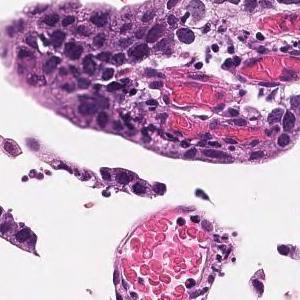
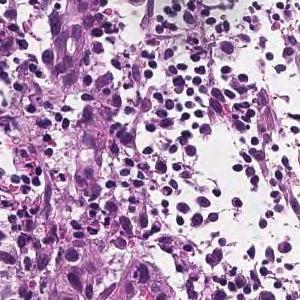
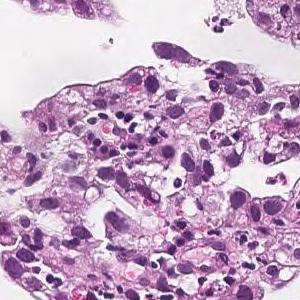
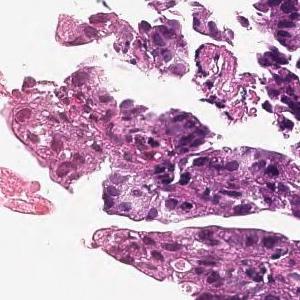
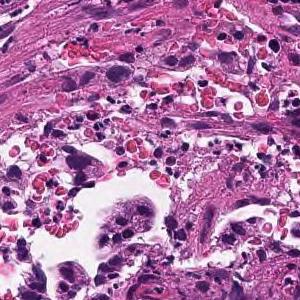
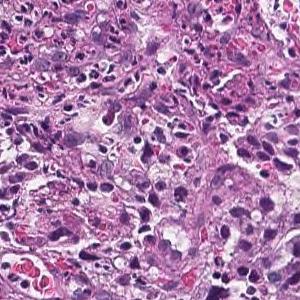
6 tiles cut from one stomach biopsy slide, H&E stain.
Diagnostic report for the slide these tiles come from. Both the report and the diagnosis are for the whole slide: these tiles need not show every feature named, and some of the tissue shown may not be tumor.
Tumor tissue consisting of medium-sized, cord-like or irregular glandular infiltration is observed in the superficial epithelium. Poorly differentiated adenocarcinoma, non-solid type or moderately differentiated tubular adenocarcinoma
Histological subtype: Moderately to poorly differentiated adenocarcinoma.
The term "non-solid type" comes from the Japanese Classification of Gastric Carcinoma.
